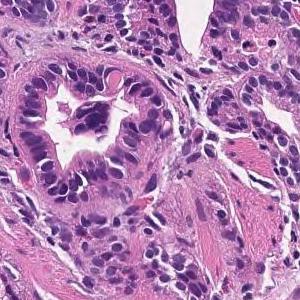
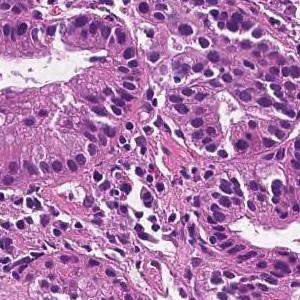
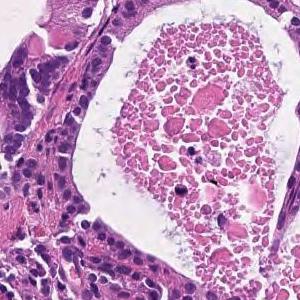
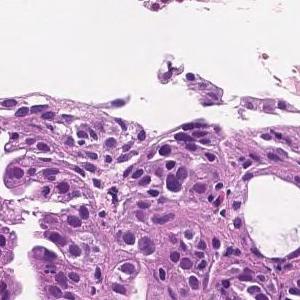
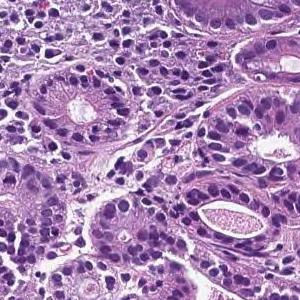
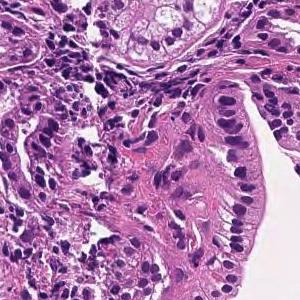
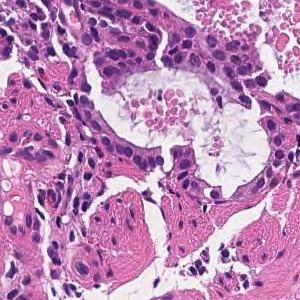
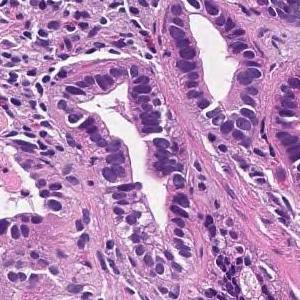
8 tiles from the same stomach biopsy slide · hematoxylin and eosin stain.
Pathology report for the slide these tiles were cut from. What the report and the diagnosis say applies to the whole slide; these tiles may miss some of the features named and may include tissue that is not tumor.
On the superficial epithelium, tumor tissue that infiltrates by forming medium-sized papillary or small irregular ducts is observed. Papillary adenocarcinoma (Papillary adenocarcinoma)
Histological subtype: Papillary adenocarcinoma.
